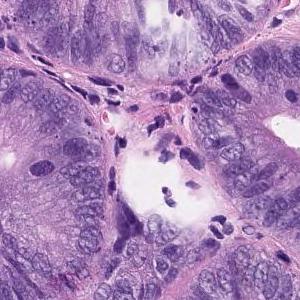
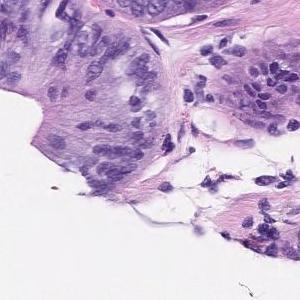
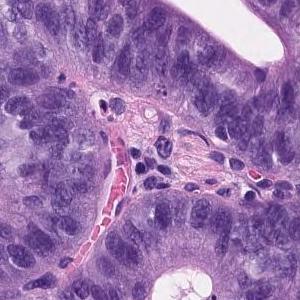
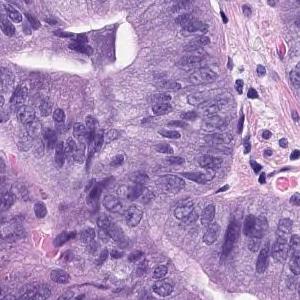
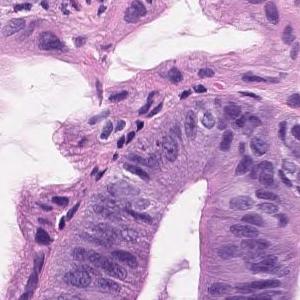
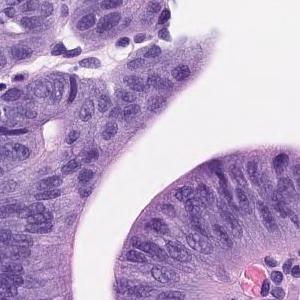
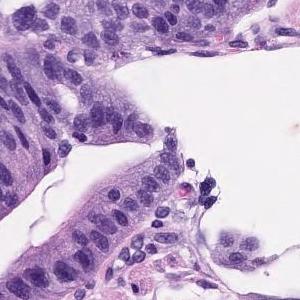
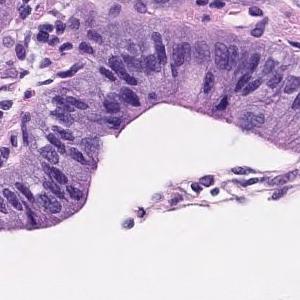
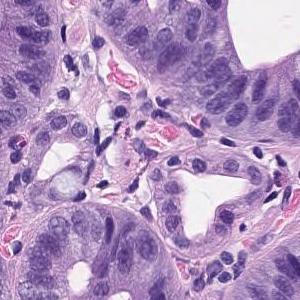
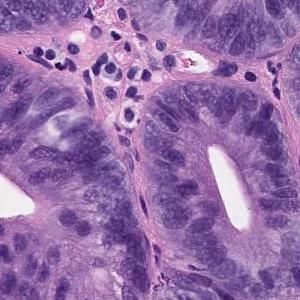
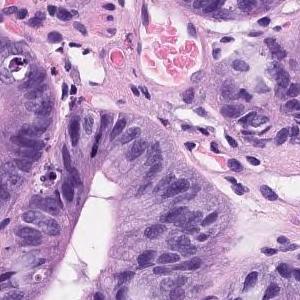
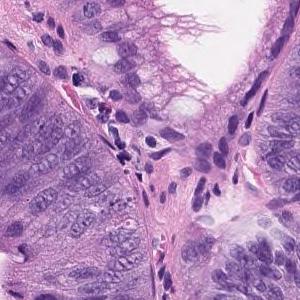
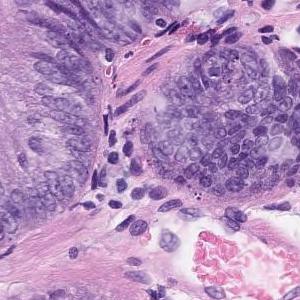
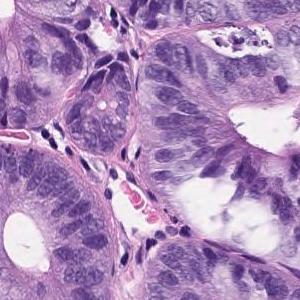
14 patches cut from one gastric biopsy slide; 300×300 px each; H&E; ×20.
The pathologist's report on the biopsy slide these tiles were taken from. The findings and the diagnosis refer to the entire slide; these tiles show only part of it, possibly with non-tumor tissue, and may not show every feature named.
On the superficial epithelium, tumor tissue consisting of images of atypical ducts of different sizes partially fused and densely proliferating is observed. Well differentiated tubular adenocarcinoma
